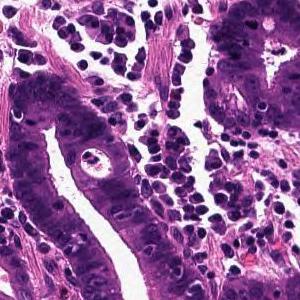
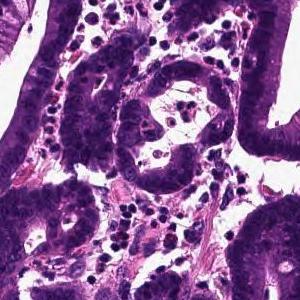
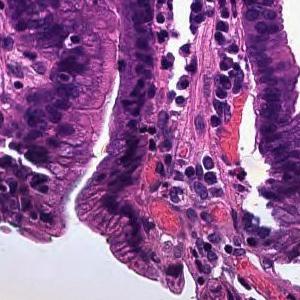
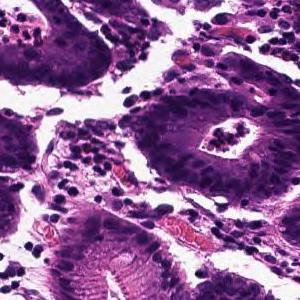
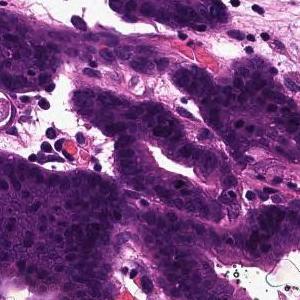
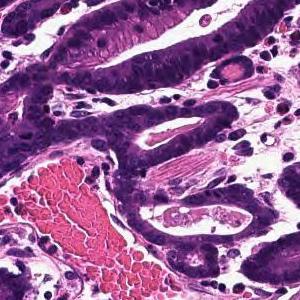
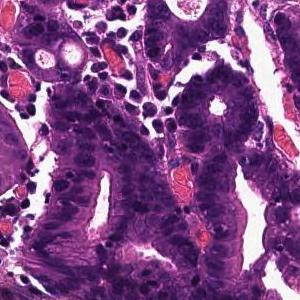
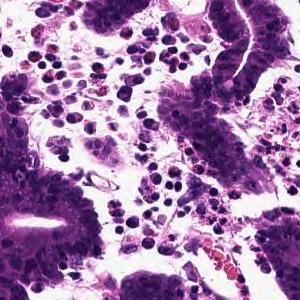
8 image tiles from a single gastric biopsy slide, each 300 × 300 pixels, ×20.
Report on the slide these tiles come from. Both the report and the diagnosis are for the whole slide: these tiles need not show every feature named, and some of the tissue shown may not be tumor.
Tumor tissue that infiltrates by forming large papillary or large irregular glandular ducts is observed confined to the mucosa. Papillary adenocarcinoma
